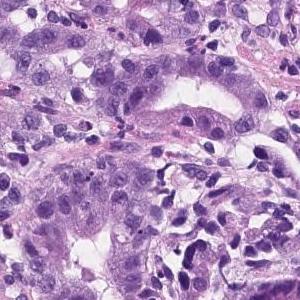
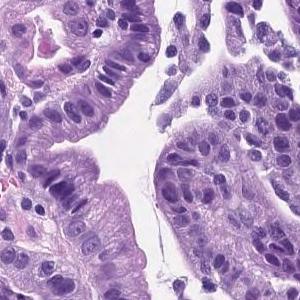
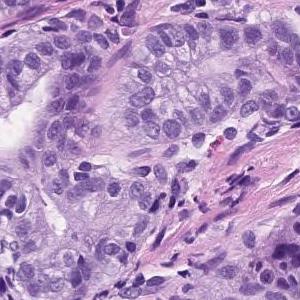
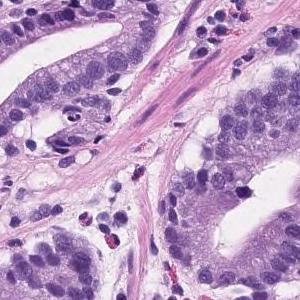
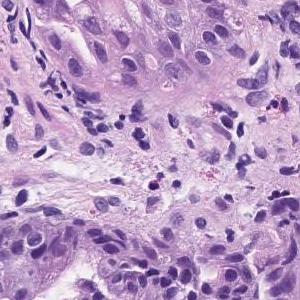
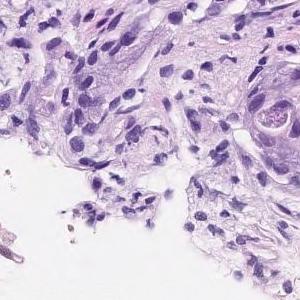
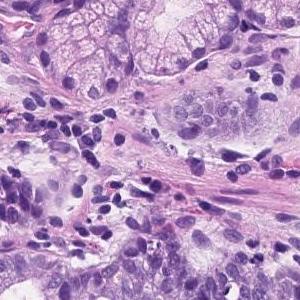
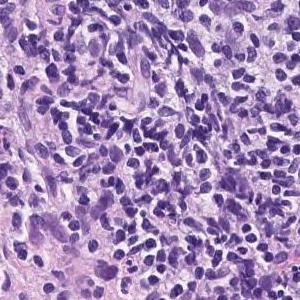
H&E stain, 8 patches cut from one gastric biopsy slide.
Pathology report for the slide these tiles were cut from. What the report and the diagnosis say applies to the whole slide; these tiles may miss some of the features named and may include tissue that is not tumor.
Tumor tissue consisting of medium-sized and irregular ducts is observed infiltrating in the superficial epithelium. Tumor cells are highly columnar, with nuclei aligned basolaterally and polarized. Well differentiated tubular adenocarcinoma.
